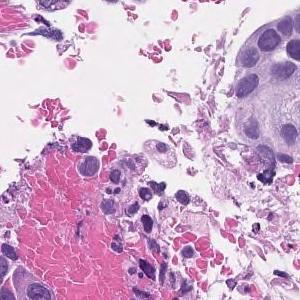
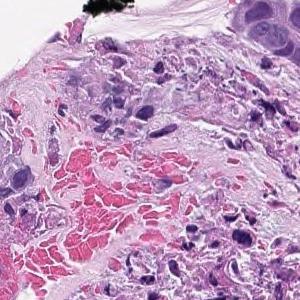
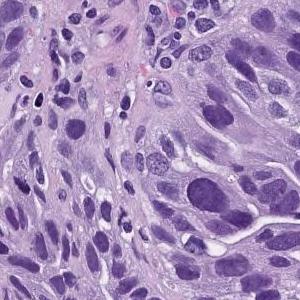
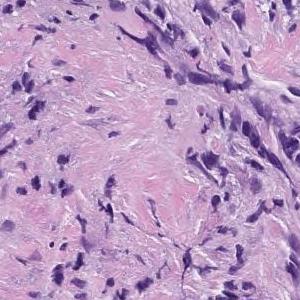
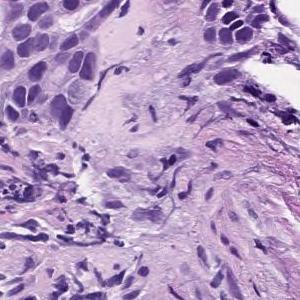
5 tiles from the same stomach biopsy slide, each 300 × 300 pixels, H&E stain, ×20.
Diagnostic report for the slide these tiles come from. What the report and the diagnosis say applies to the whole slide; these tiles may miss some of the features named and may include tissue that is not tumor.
In the superficial epithelium, tumor tissue that invades by forming medium-sized to small, irregular ducts is observed. moderately differentiated tubular adenocarcinoma.
